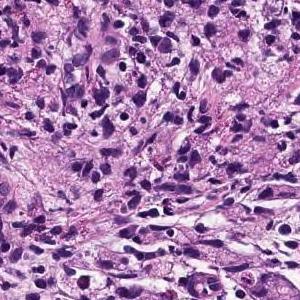
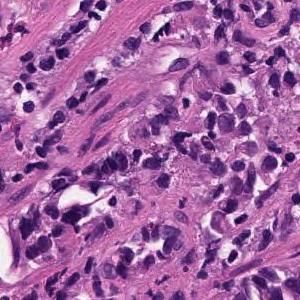
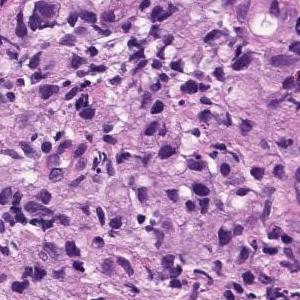
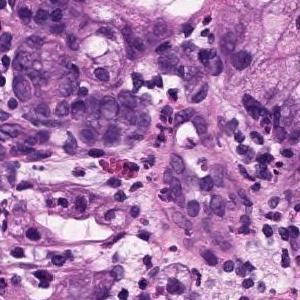
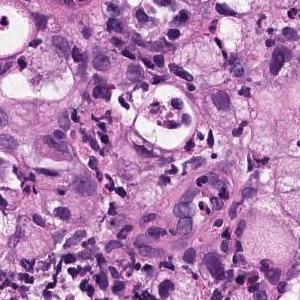
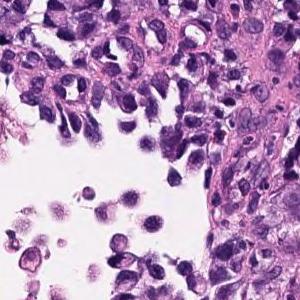
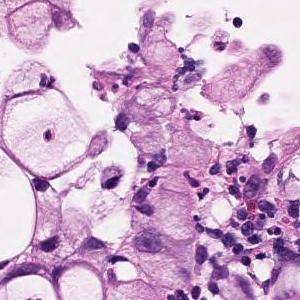
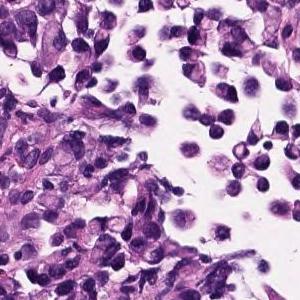
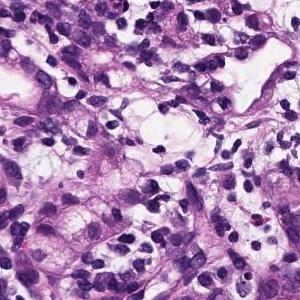
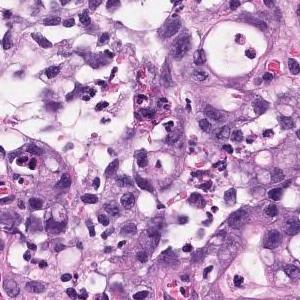
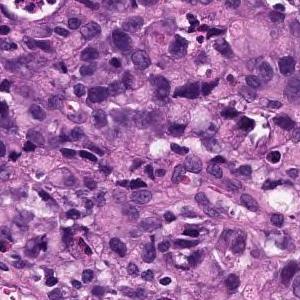
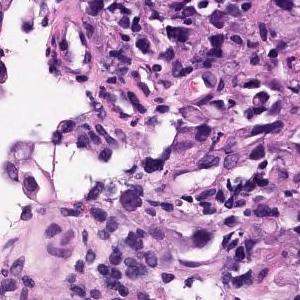
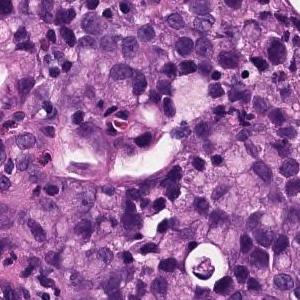
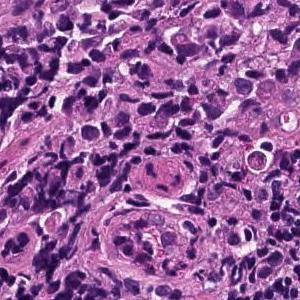
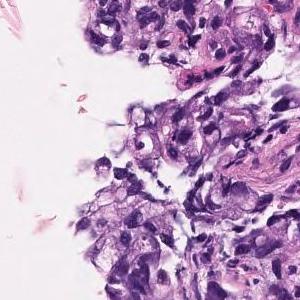
15 tiles cut from one stomach biopsy slide; 300×300 px each.
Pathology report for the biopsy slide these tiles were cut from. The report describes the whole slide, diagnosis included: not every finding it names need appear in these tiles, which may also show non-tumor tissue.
Atypical epithelium forms irregularly fused gland ducts and proliferates. Poorly differentiated adenocarcinoma.
Histologic type: Poorly differentiated adenocarcinoma, non-solid type.
The non-solid type named here is a Japanese Classification of Gastric Carcinoma category.
